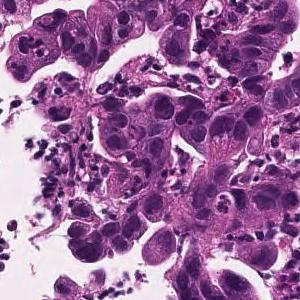
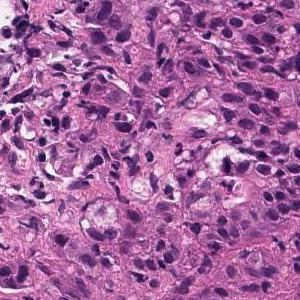
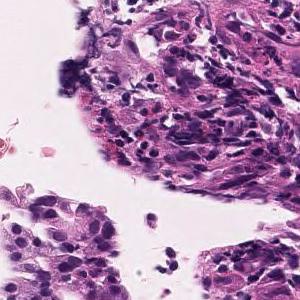
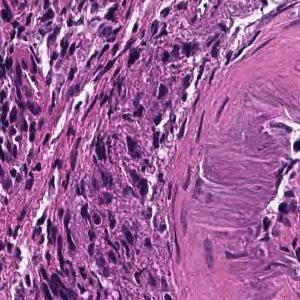
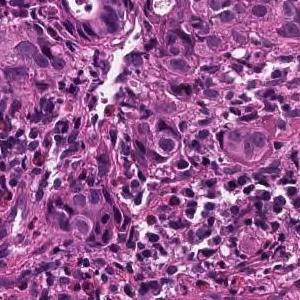
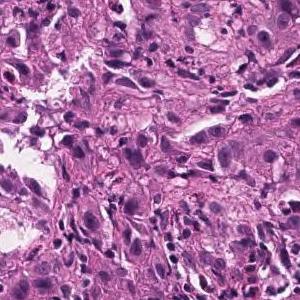
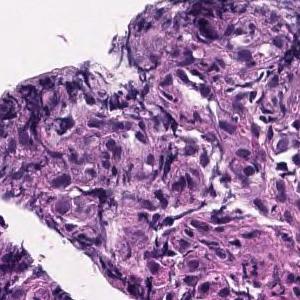
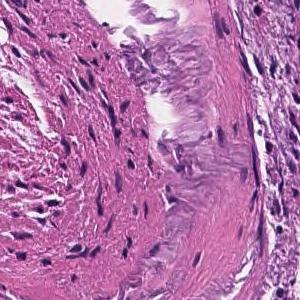
8 image tiles from a single gastric biopsy slide, 20× magnification, H&E.
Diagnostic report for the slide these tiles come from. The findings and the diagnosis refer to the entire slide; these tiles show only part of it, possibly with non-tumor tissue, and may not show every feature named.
Tumor tissue consisting of medium-sized, cord-like or irregular glandular infiltration is observed in the superficial epithelium. Poorly differentiated adenocarcinoma, non-solid type or moderately differentiated tubular adenocarcinoma
The term "non-solid type" comes from the Japanese Classification of Gastric Carcinoma.
